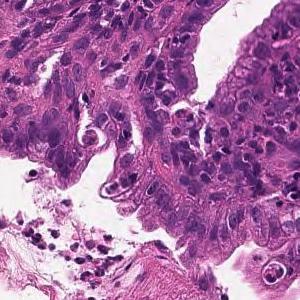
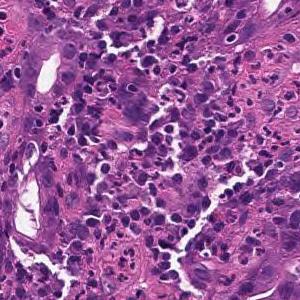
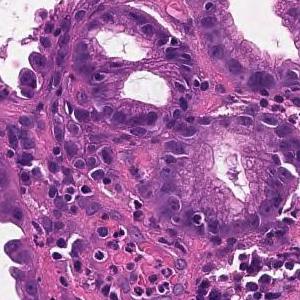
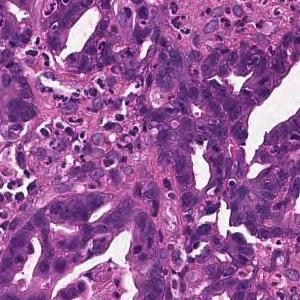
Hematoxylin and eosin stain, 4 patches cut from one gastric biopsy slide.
Report on the slide these tiles come from. Both the report and the diagnosis are for the whole slide: these tiles need not show every feature named, and some of the tissue shown may not be tumor.
From the superficial epithelium to the muscularis mucosae, tumor tissue consisting of medium-sized and irregular glandular ducts infiltrating is observed. Well differentiated tubular adenocarcinoma
